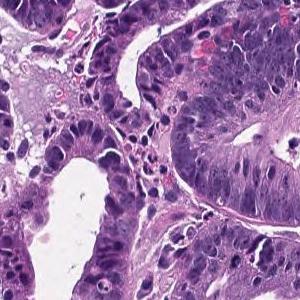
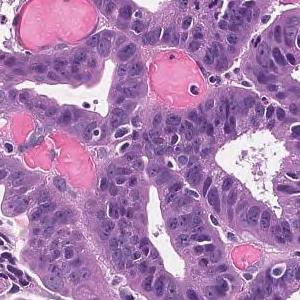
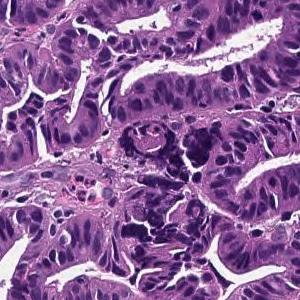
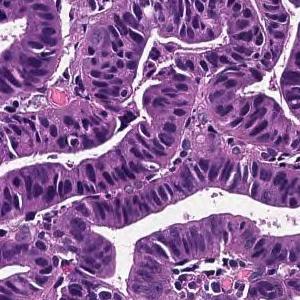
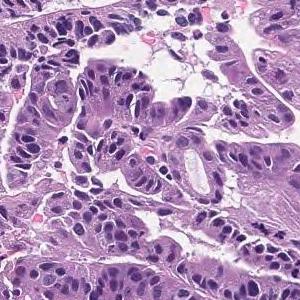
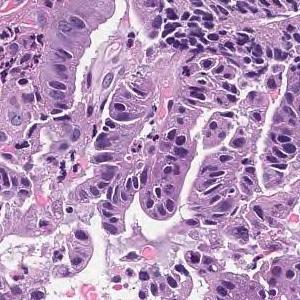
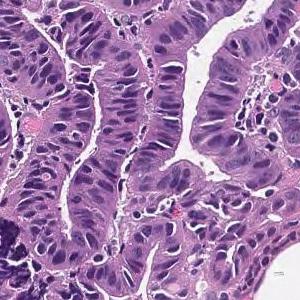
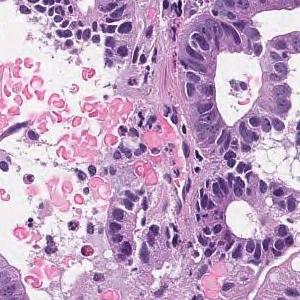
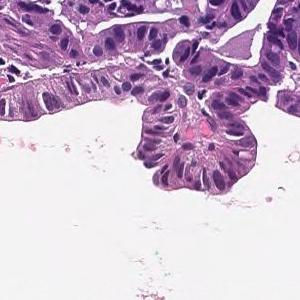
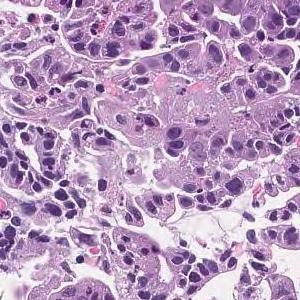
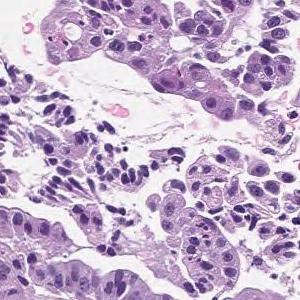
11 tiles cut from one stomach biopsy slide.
Report on the slide these tiles come from. The report and the diagnosis describe the slide as a whole, so these tiles may not show every feature named and may include non-tumor tissue.
Tumor cells are large, highly columnar, large club-shaped nuclei, and are associated with chromatin aggregation. Papillary adenocarcinoma.
